20× magnification; H&E stain; 10 tiles from the same stomach biopsy slide.
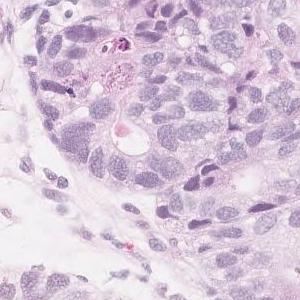
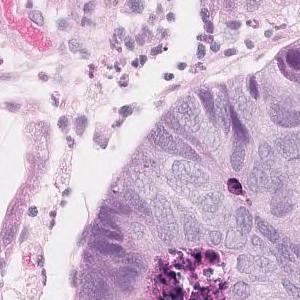
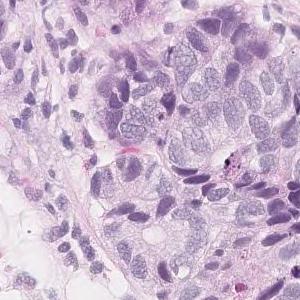
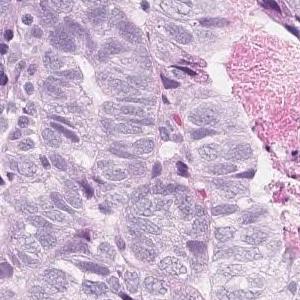
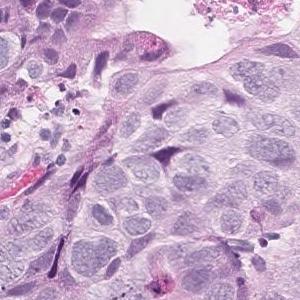
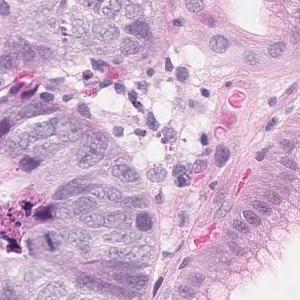
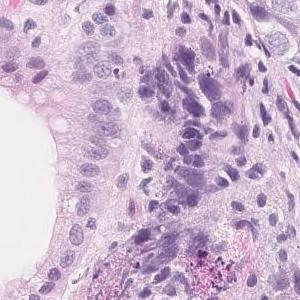
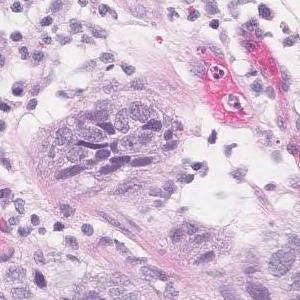
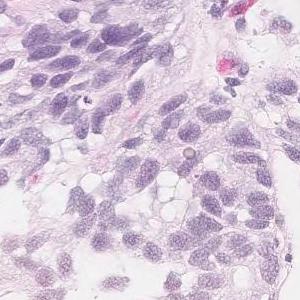
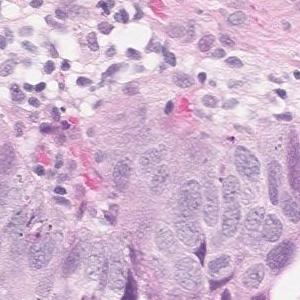
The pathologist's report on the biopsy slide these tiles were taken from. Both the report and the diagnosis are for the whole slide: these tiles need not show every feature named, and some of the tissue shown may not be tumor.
In the superficial epithelium, tumor tissue that invades by forming medium-sized to small, irregular ducts is observed. Moderately differentiated adenocarcinoma.
Histological subtype: Moderately differentiated tubular adenocarcinoma.
